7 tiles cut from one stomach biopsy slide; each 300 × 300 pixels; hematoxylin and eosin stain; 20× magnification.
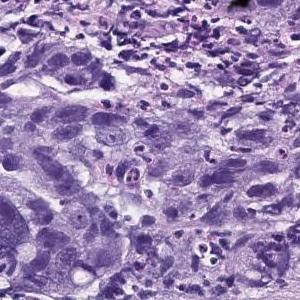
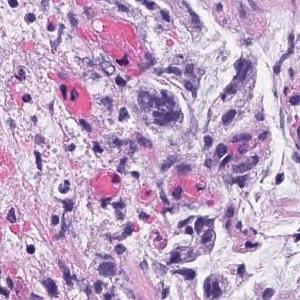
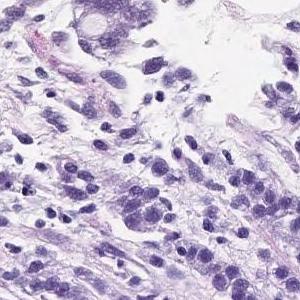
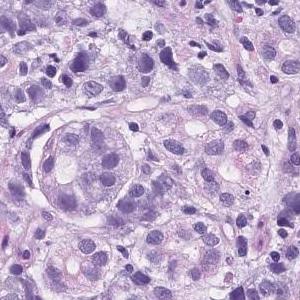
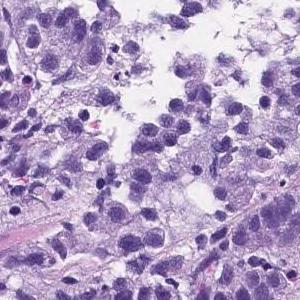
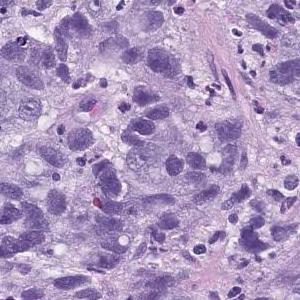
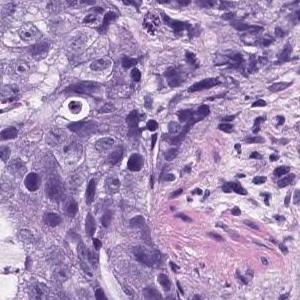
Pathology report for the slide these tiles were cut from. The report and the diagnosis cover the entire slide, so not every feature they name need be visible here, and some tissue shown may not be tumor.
Atypical l cells with atypical nuclei forming solid vesicles or small irregular atypical ducts that proliferate in a complex manner. poorly differentiated adenocarcinoma, solid type, moderately differentiated tubular adenocarcinoma
"Solid type" is a category of the Japanese Classification of Gastric Carcinoma; in the WHO 2019 classification it is tubular adenocarcinoma, poorly differentiated.
